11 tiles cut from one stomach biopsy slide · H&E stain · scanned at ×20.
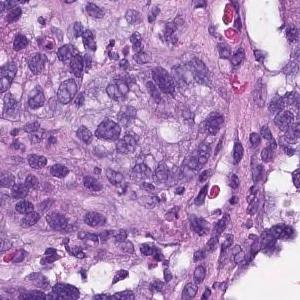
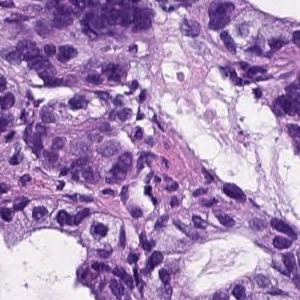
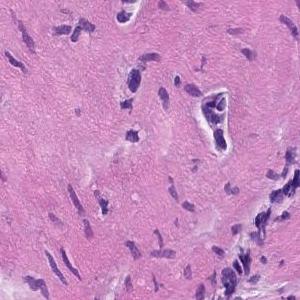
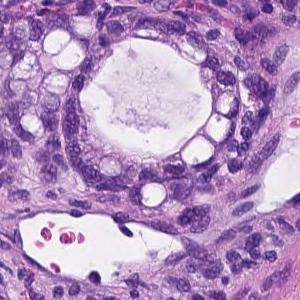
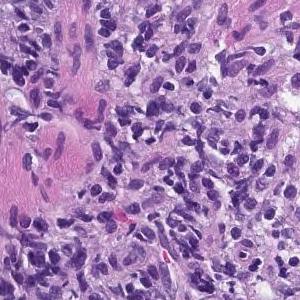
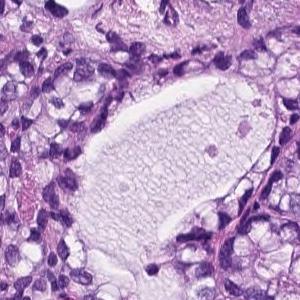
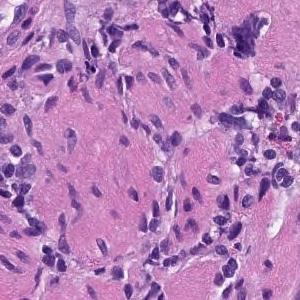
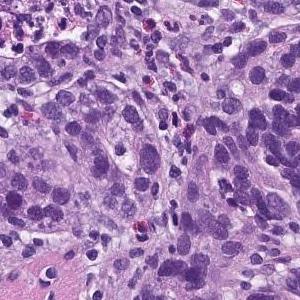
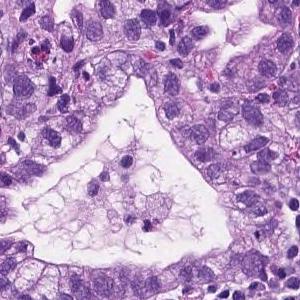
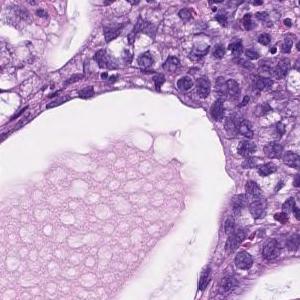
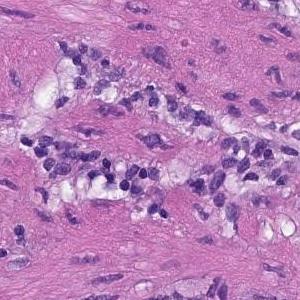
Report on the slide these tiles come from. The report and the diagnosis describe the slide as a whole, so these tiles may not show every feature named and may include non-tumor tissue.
From the superficial epithelium to the muscularis mucosae, tumor tissue consisting of medium-sized and irregular glandular ducts infiltrating is observed. Well differentiated tubular adenocarcinoma
